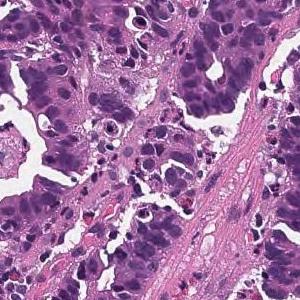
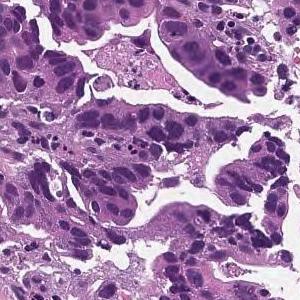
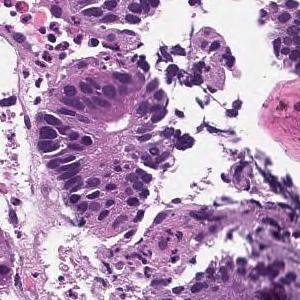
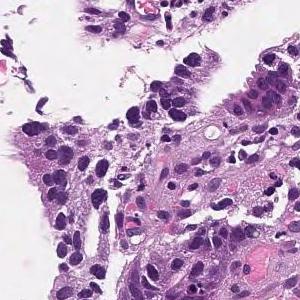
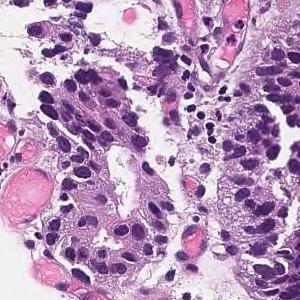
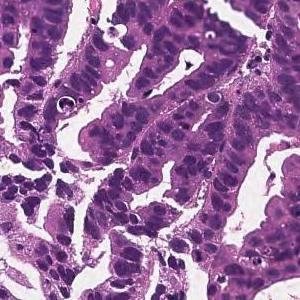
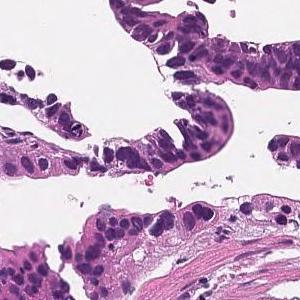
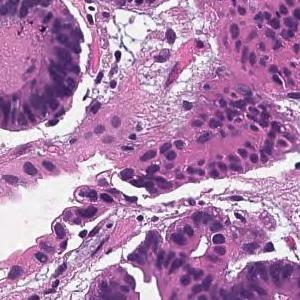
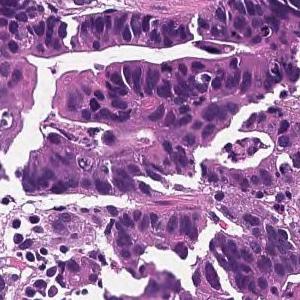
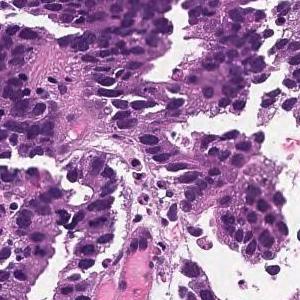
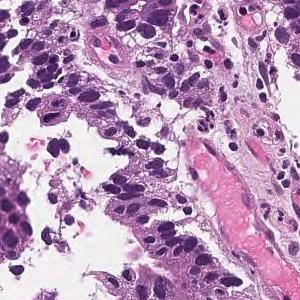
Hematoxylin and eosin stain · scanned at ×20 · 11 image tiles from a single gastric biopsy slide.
Pathology report for the slide these tiles were cut from. The report describes the whole slide, diagnosis included: not every finding it names need appear in these tiles, which may also show non-tumor tissue.
In the superficial epithelium, tumor tissue that invades by forming medium-sized to small, irregular ducts is observed. moderately differentiated tubular adenocarcinoma.
